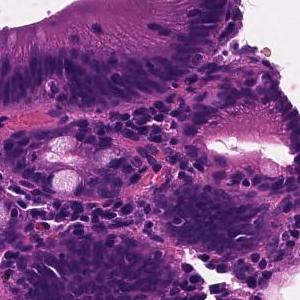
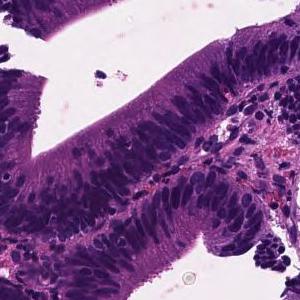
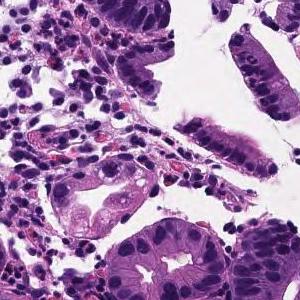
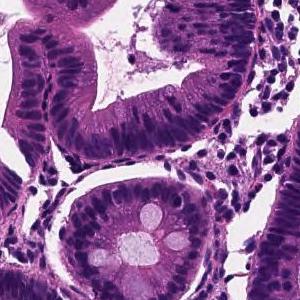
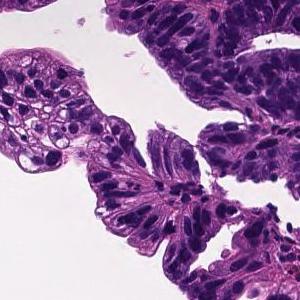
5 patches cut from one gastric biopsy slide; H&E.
Report on the slide these tiles come from. The report describes the whole slide, diagnosis included: not every finding it names need appear in these tiles, which may also show non-tumor tissue.
Tumor tissue in which medium to small irregular ducts infiltrate and proliferate in the submucosa can be seen in the epithelium. Well differentiated tubular adenocarcinoma
